9 image tiles from a single gastric biopsy slide; 300 × 300 pixels each.
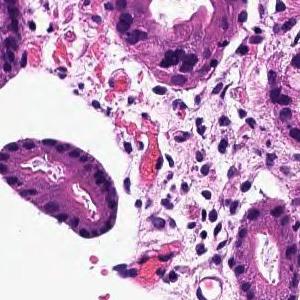
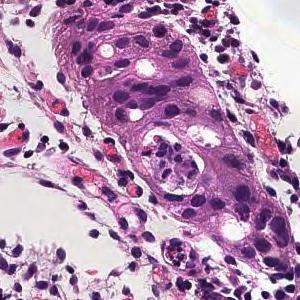
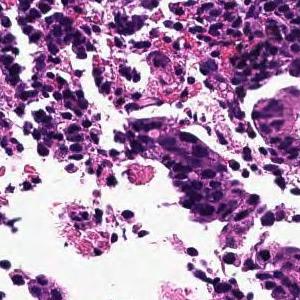
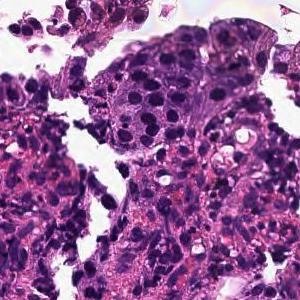
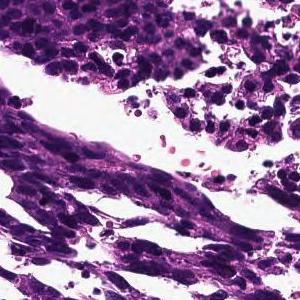
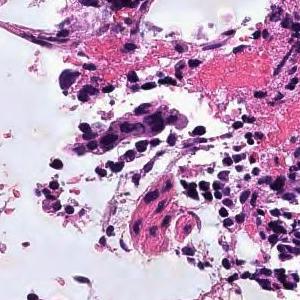
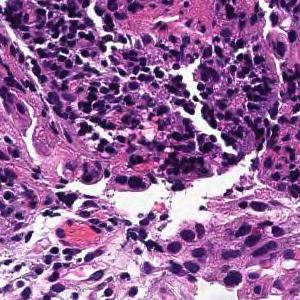
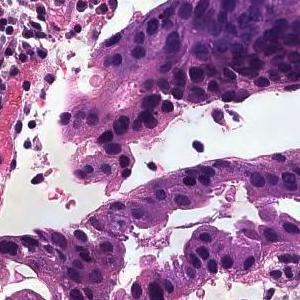
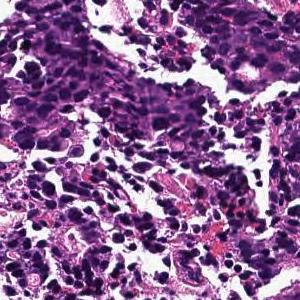
Pathology report for the slide these tiles were cut from. The report describes the whole slide, diagnosis included: not every finding it names need appear in these tiles, which may also show non-tumor tissue.
In the superficial epithelium, tumor tissue that invades by forming medium-sized to small, irregular ducts is observed. moderately differentiated tubular adenocarcinoma.
